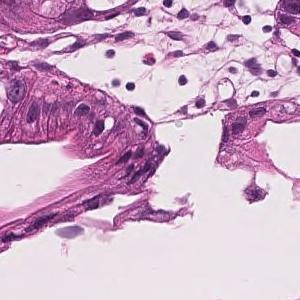
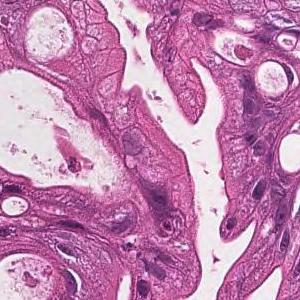
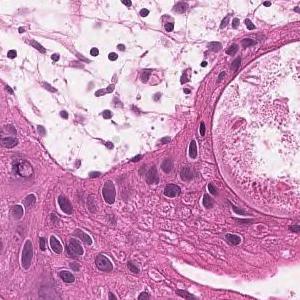
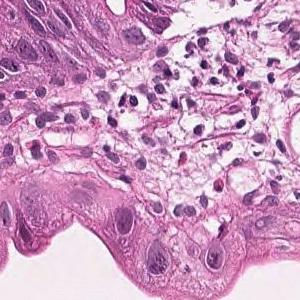
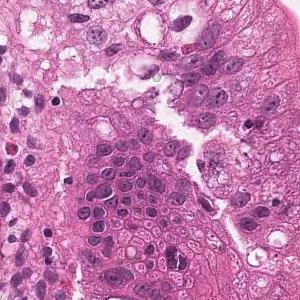
Hematoxylin and eosin stain, scanned at ×20, 5 tiles from the same stomach biopsy slide.
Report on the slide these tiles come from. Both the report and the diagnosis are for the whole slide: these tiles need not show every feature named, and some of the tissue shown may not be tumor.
On the superficial epithelium, tumor tissue that infiltrates by forming medium-sized papillary or small irregular ducts is observed. Papillary adenocarcinoma
